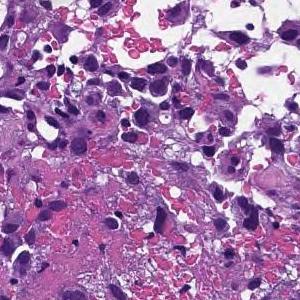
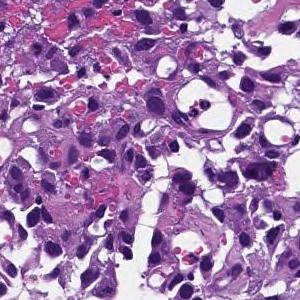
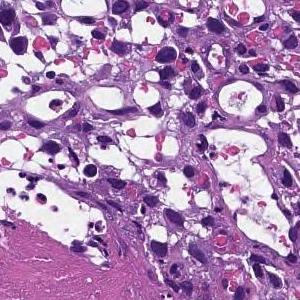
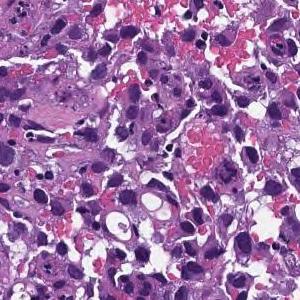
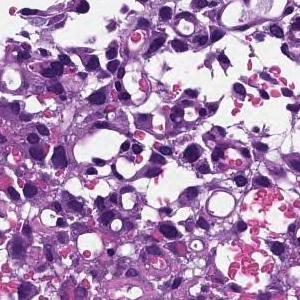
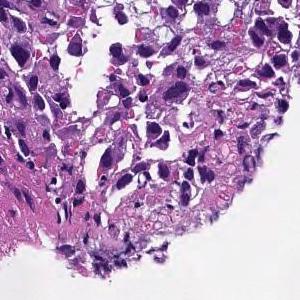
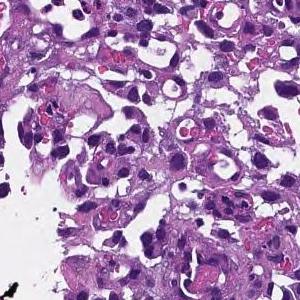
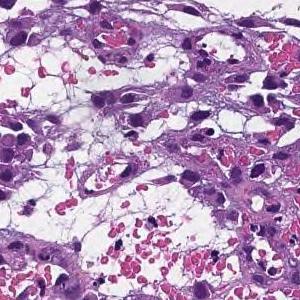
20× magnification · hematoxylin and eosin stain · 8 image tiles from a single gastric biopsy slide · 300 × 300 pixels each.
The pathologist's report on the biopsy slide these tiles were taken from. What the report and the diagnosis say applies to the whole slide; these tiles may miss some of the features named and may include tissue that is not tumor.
Tumor tissue consisting of cord-like or small, irregular glandular ducts fused and infiltrated is observed in the superficial epithelium. Poorly differentiated adenocarcinoma, non-solid type
The term "non-solid type" comes from the Japanese Classification of Gastric Carcinoma.
